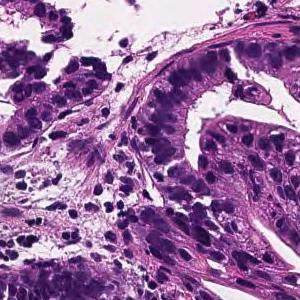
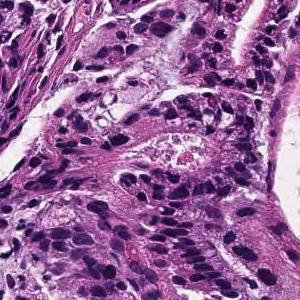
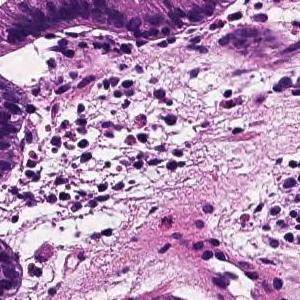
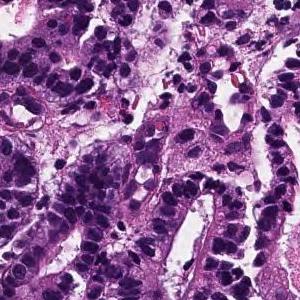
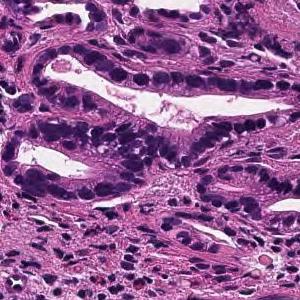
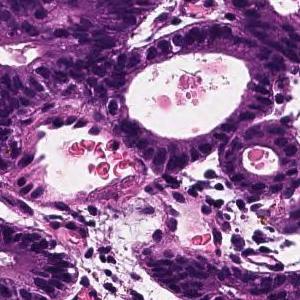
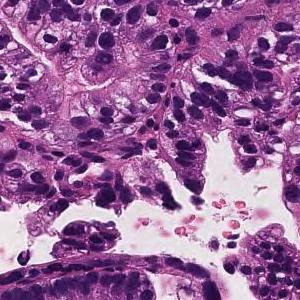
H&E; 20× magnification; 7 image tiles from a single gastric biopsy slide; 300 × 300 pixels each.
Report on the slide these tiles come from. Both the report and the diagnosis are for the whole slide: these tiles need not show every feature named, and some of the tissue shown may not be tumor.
From the superficial epithelium to the muscularis mucosae, tumor tissue consisting of medium-sized and irregular glandular ducts infiltrating is observed. Well differentiated tubular adenocarcinoma
